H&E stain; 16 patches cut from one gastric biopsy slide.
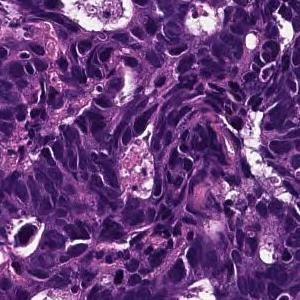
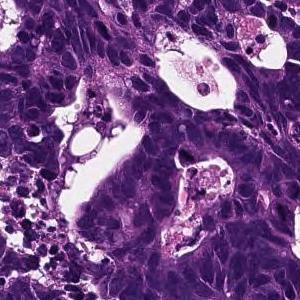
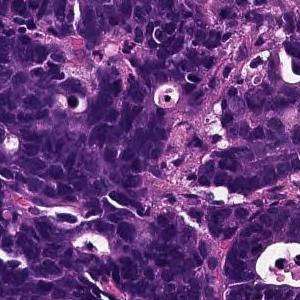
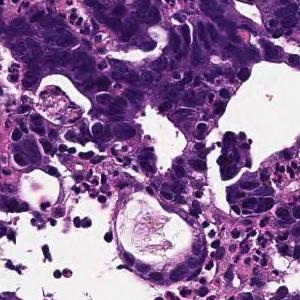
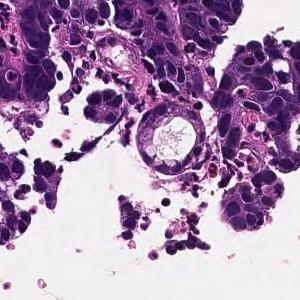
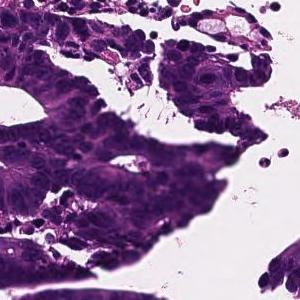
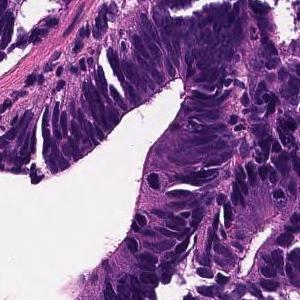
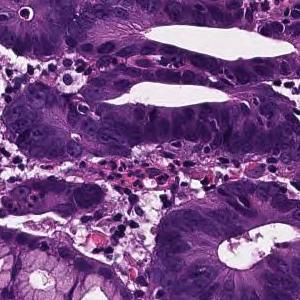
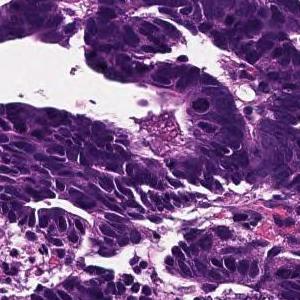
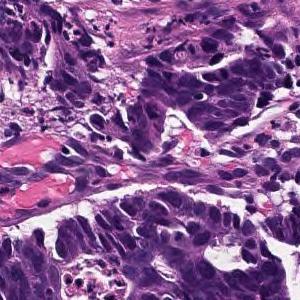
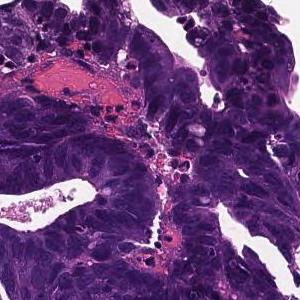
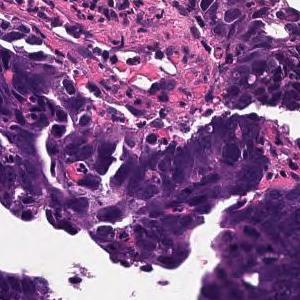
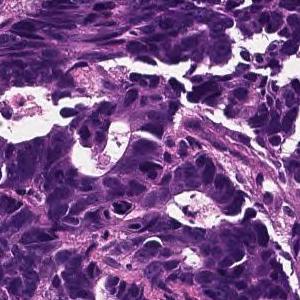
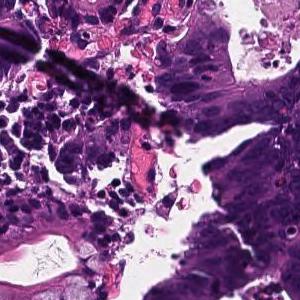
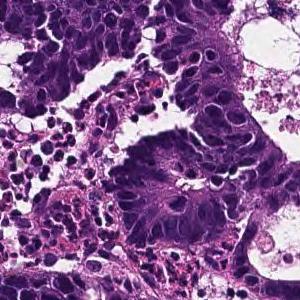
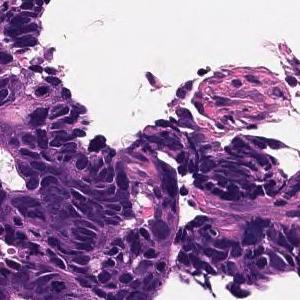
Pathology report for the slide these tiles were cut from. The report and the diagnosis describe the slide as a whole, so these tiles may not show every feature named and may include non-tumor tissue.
In the superficial epithelium, tumor tissue that invades by forming medium-sized to small, irregular ducts is observed. moderately differentiated tubular adenocarcinoma.
